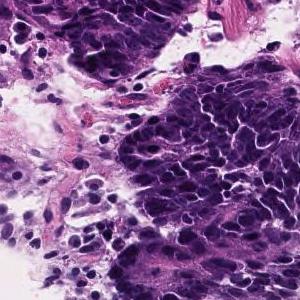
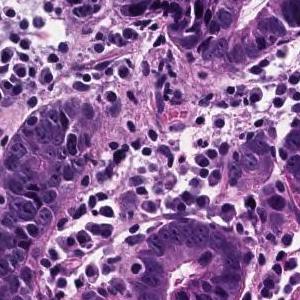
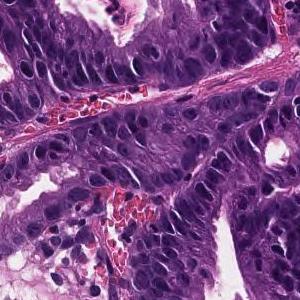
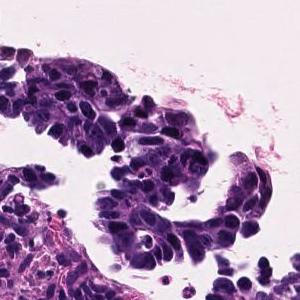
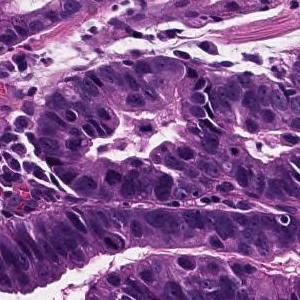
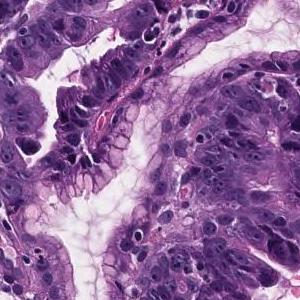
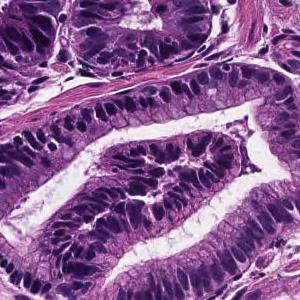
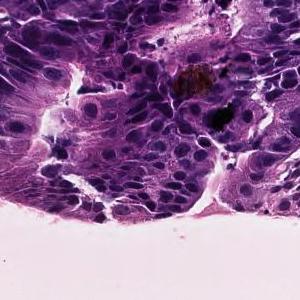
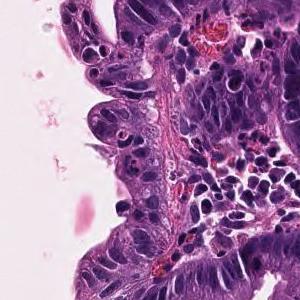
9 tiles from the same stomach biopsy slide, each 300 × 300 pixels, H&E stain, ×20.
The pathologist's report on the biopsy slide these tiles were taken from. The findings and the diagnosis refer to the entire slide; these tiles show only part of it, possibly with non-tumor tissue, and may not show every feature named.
On the superficial epithelium, tumor tissue consisting of growth of medium-sized to large-sized, round or irregular glandular ducts is observed. Well differentiated tubular adenocarcinoma
